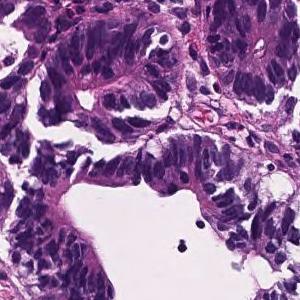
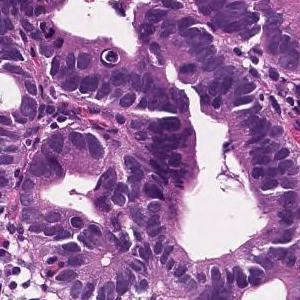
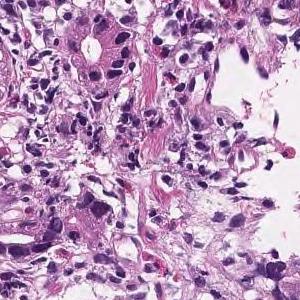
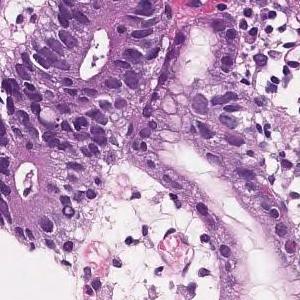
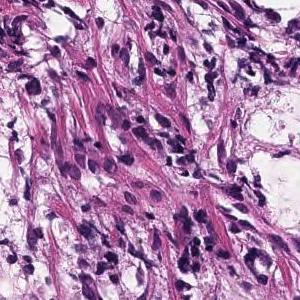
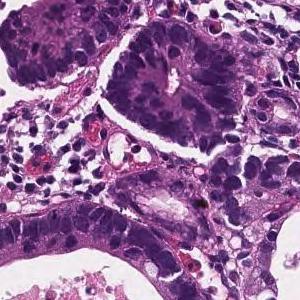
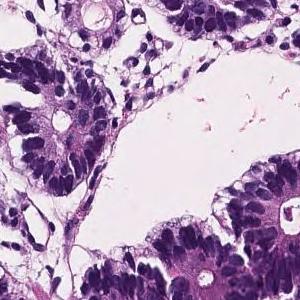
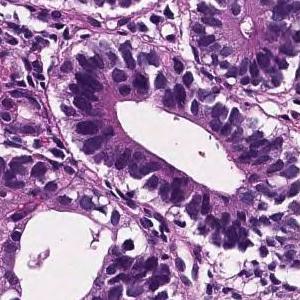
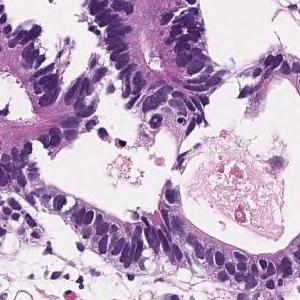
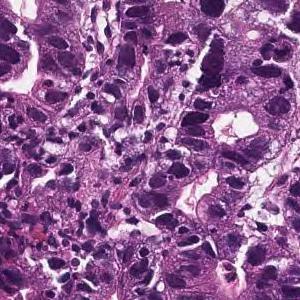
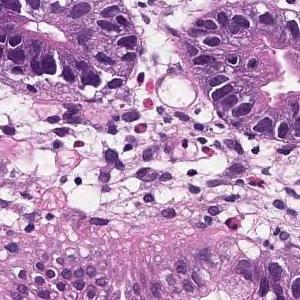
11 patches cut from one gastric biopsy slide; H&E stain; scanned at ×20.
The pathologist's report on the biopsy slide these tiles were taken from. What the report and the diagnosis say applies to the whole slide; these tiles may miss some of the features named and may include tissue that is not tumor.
On the superficial epithelium, tumor tissue consisting of large, irregular glandular ducts partially fused and infiltrated is observed. Well to moderately differentiated tubular adenocarcinoma (well differentiated tubular adenocarcinoma, moderately differentiated tubular adenocarcinoma)
Histologic type: Well to moderately differentiated tubular adenocarcinoma.
